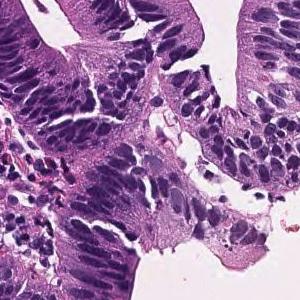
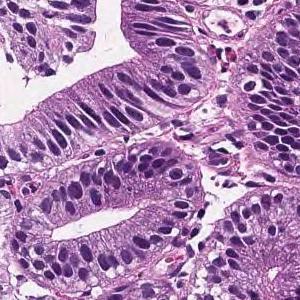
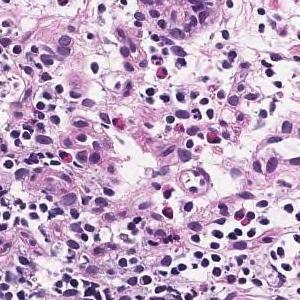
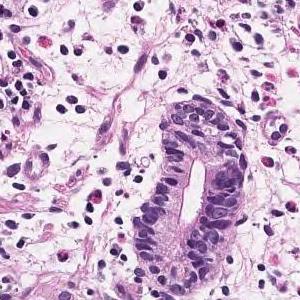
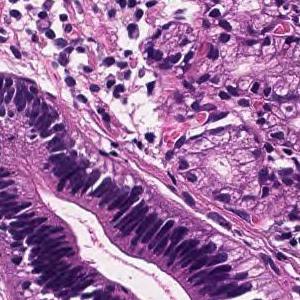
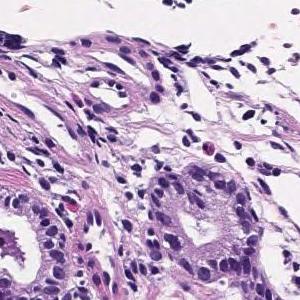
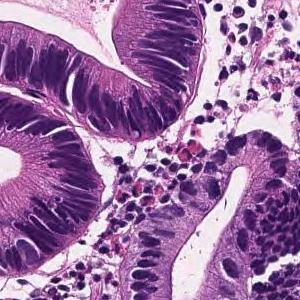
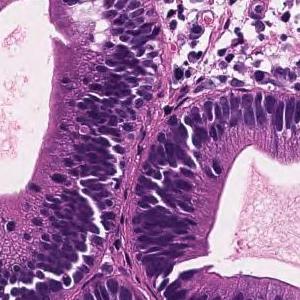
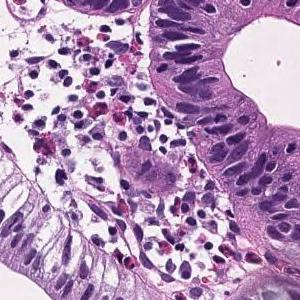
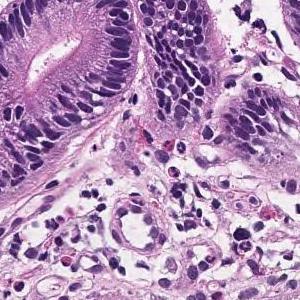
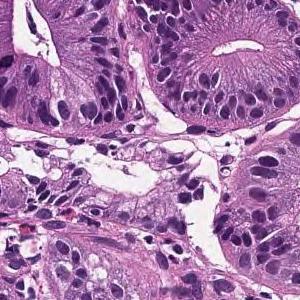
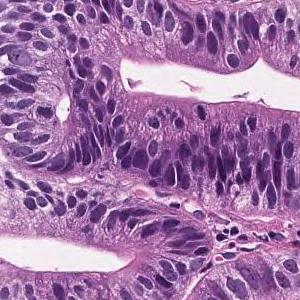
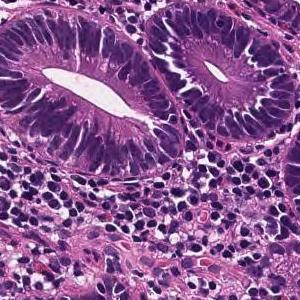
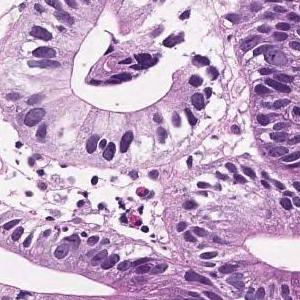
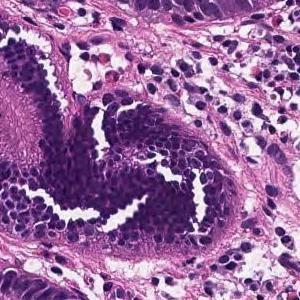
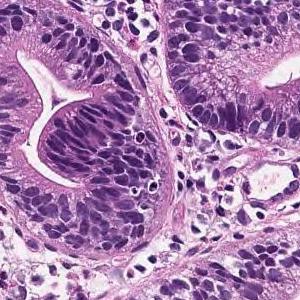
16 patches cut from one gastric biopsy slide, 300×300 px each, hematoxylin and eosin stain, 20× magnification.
Pathology report for the biopsy slide these tiles were cut from. What the report and the diagnosis say applies to the whole slide; these tiles may miss some of the features named and may include tissue that is not tumor.
In the superficial epithelium, tumor tissue that invades by forming medium-sized to small, irregular ducts is observed. Well differentiated tubular adenocarcinoma.
